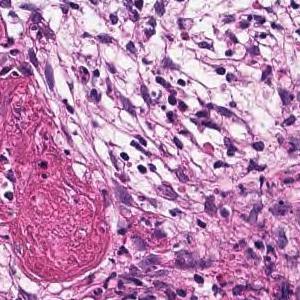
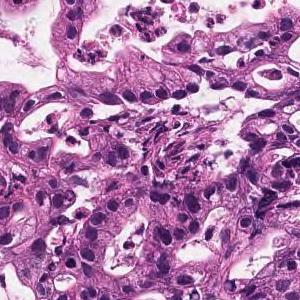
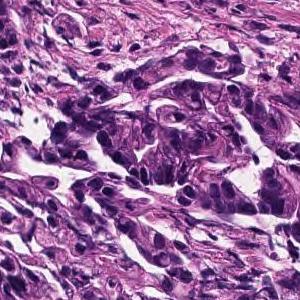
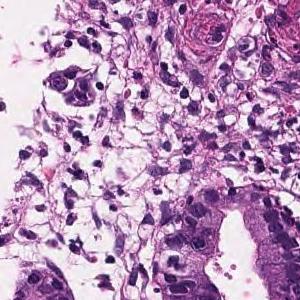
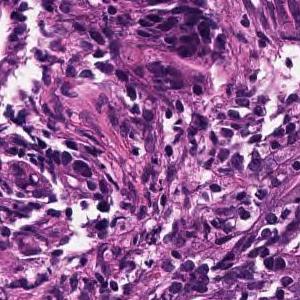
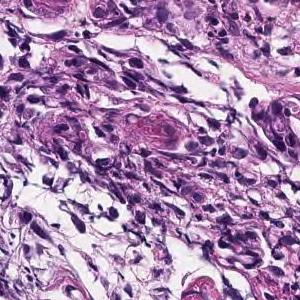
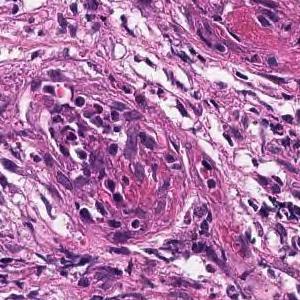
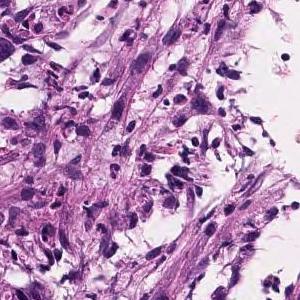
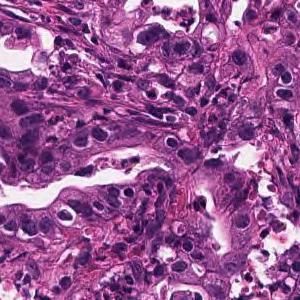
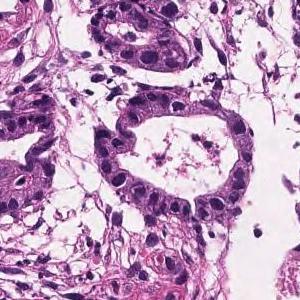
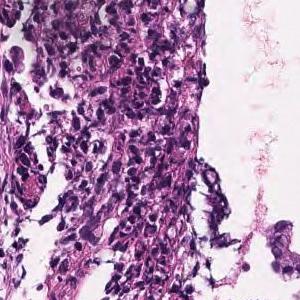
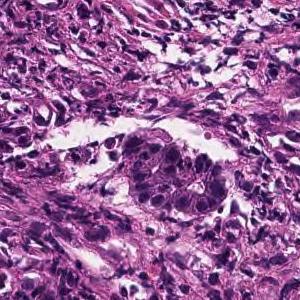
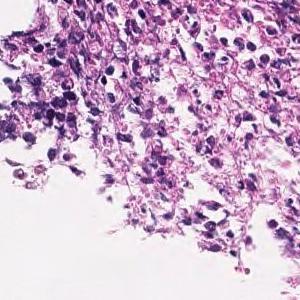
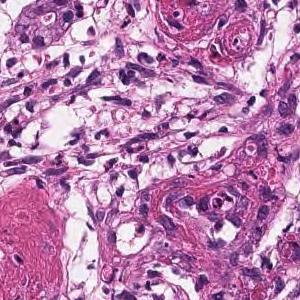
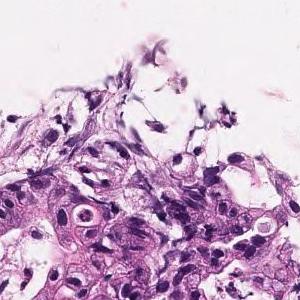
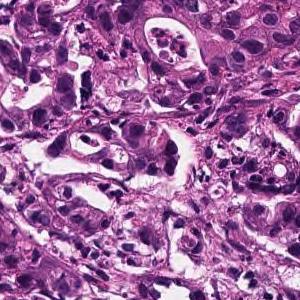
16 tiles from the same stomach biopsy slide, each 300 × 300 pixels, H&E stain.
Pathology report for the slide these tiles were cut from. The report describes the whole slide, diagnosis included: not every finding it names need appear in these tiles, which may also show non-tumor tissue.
In the superficial epithelium, medium to small, irregular gland ducts are formed, and in some cases, the gland ducts are fused to show solid alveolar lesions and infiltrating tumor tissue is observed. Moderately to poorly differentiated adenocarcinoma.
